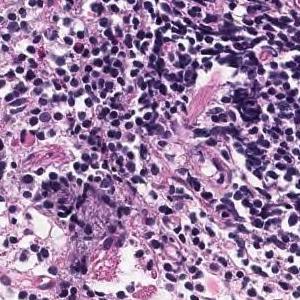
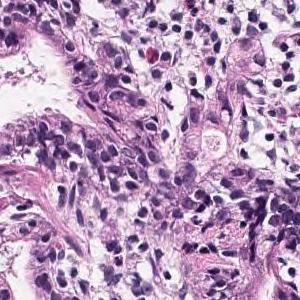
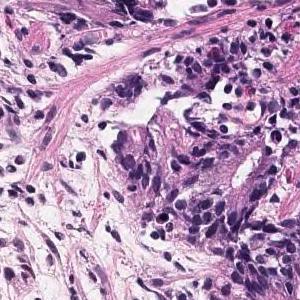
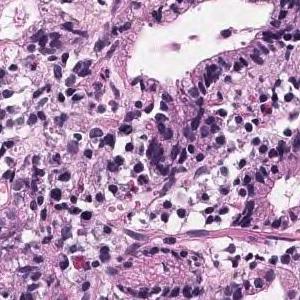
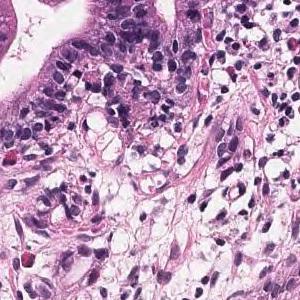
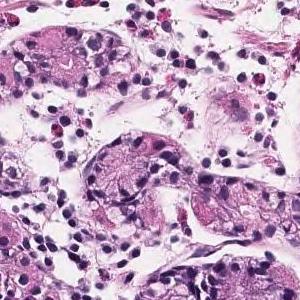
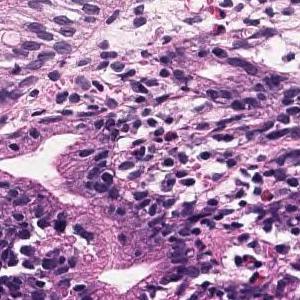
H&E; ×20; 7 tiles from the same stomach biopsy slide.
Pathology report for the slide these tiles were cut from. The report and the diagnosis describe the slide as a whole, so these tiles may not show every feature named and may include non-tumor tissue.
Tumor tissue that grows and grows is observed, showing a medium-sized round or irregular duct. moderately differentiated tubular adenocarcinoma
